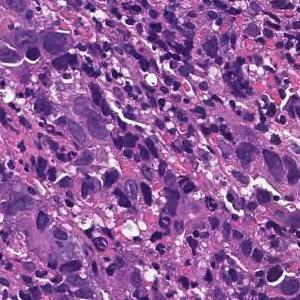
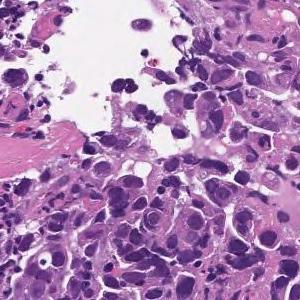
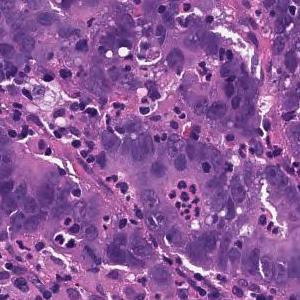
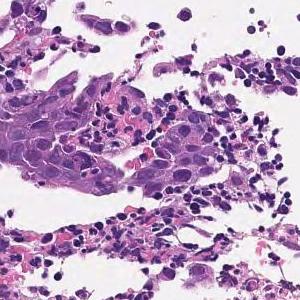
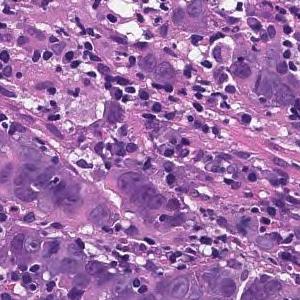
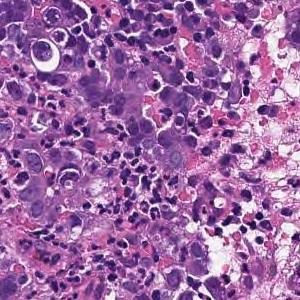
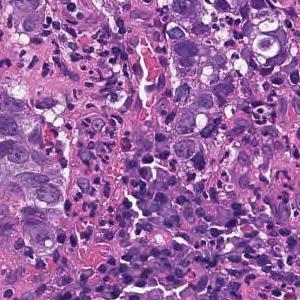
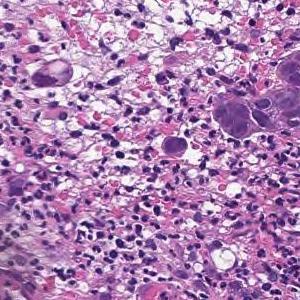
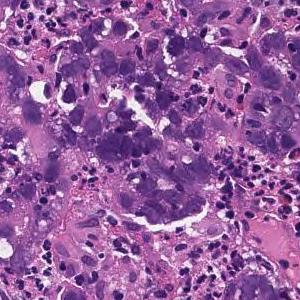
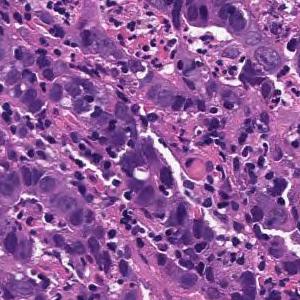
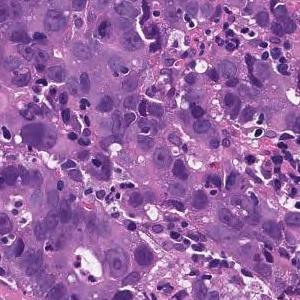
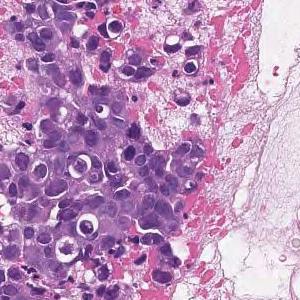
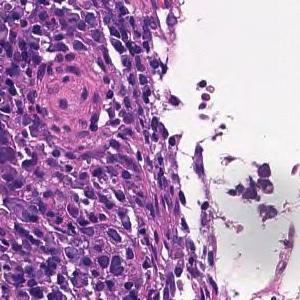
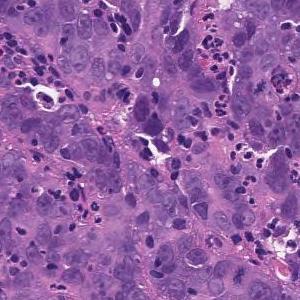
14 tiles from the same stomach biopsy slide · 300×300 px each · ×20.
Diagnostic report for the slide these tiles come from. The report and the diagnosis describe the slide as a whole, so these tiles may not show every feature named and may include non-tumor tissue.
Tumor tissue consisting of cord-like or small, irregular glandular ducts fused and infiltrated is observed in the superficial epithelium. Poorly differentiated adenocarcinoma, non-solid type
"Non-solid type" is a category of the Japanese Classification of Gastric Carcinoma.
